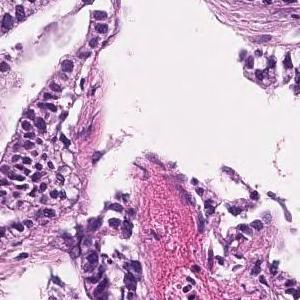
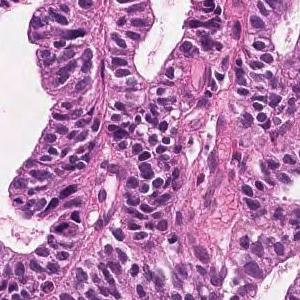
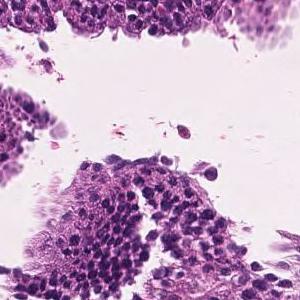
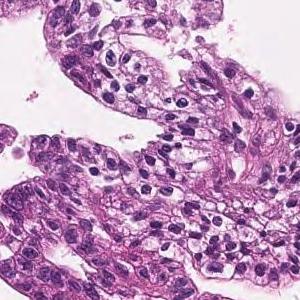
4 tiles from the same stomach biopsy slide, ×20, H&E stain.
Pathology report for the biopsy slide these tiles were cut from. Both the report and the diagnosis are for the whole slide: these tiles need not show every feature named, and some of the tissue shown may not be tumor.
Tumor cells are large, highly columnar, large club-shaped nuclei, and are associated with chromatin aggregation. Papillary adenocarcinoma.
